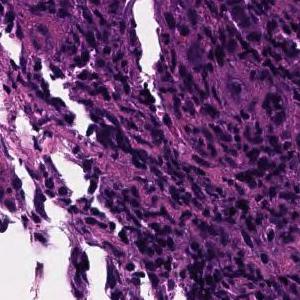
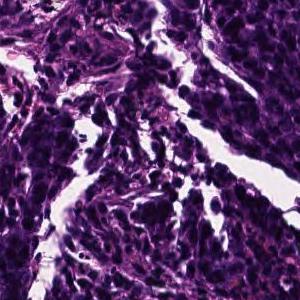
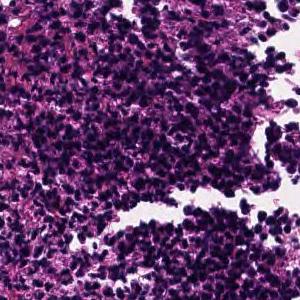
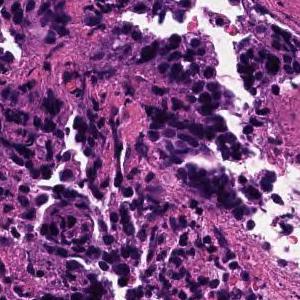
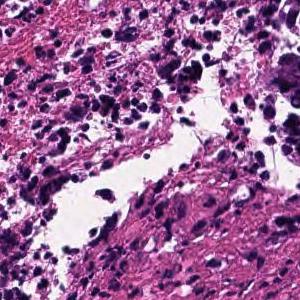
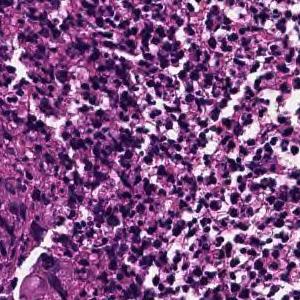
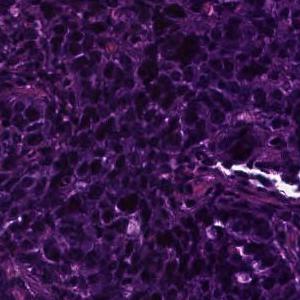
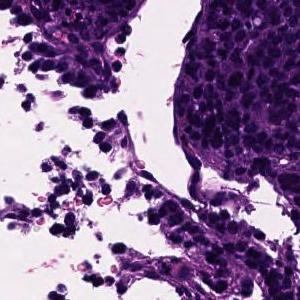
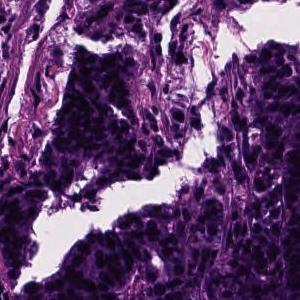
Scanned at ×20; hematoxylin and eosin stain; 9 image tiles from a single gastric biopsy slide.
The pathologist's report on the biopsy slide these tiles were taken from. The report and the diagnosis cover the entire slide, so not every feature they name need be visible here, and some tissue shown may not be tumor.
In the superficial epithelium, tumor tissue that invades by forming medium-sized to small, irregular ducts is observed. moderately differentiated tubular adenocarcinoma.
